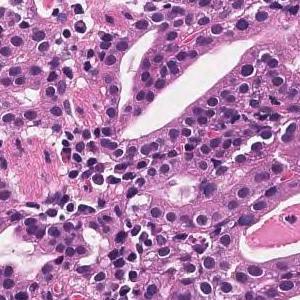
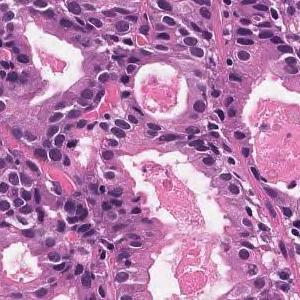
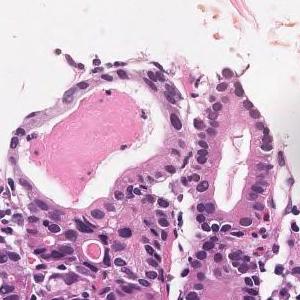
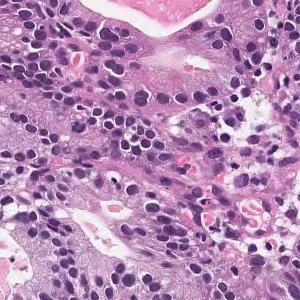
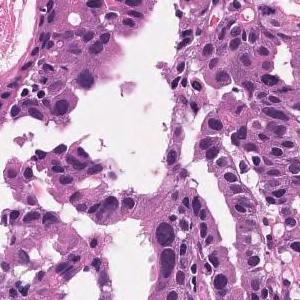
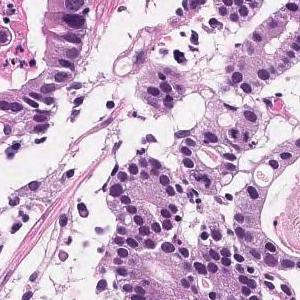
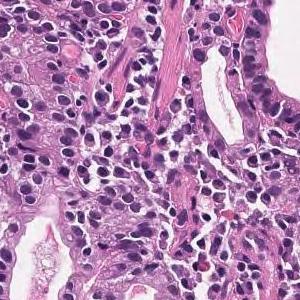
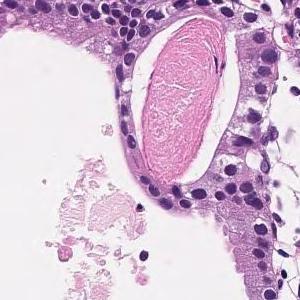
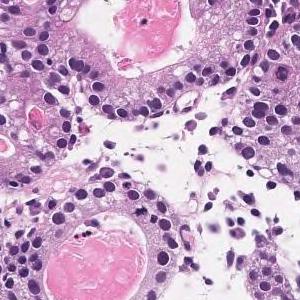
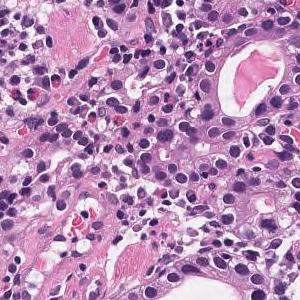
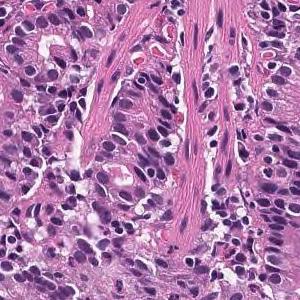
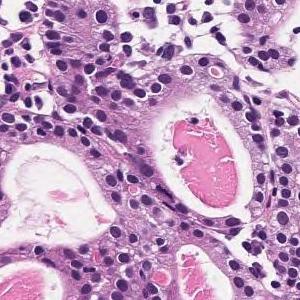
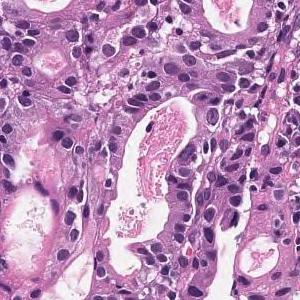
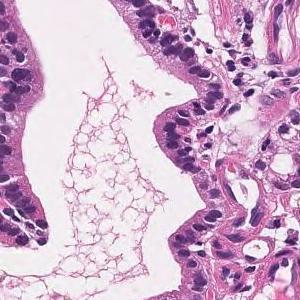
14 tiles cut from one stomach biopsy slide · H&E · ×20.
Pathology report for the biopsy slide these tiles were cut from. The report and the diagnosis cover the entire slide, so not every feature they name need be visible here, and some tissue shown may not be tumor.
Medium to small, irregular glandular ducts are formed in the superficial epithelium, and in some cases, the glandular ducts are fused to show solid alveolar lesions and infiltrating tumor tissue is observed. Moderately to poorly differentiated adenocarcinoma.
